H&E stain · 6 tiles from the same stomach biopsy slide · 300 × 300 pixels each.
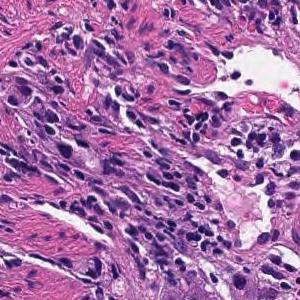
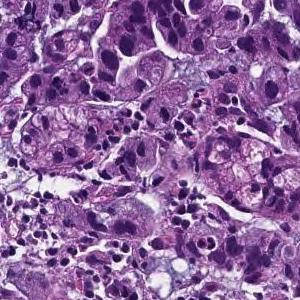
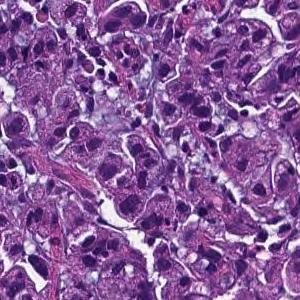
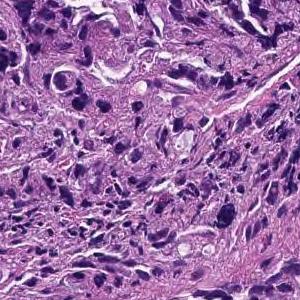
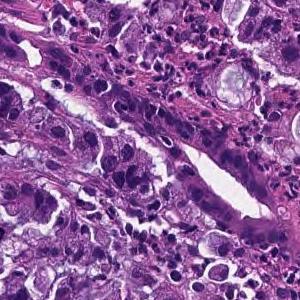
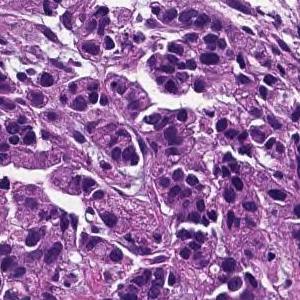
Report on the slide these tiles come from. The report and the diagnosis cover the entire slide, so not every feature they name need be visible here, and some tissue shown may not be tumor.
Tumor tissue consisting of medium-sized, cord-like or irregular glandular infiltration is observed in the superficial epithelium. Poorly differentiated adenocarcinoma, non-solid type or moderately differentiated tubular adenocarcinoma
Tumor subtype: moderately to poorly differentiated adenocarcinoma.
"Non-solid type" is a category of the Japanese Classification of Gastric Carcinoma.
